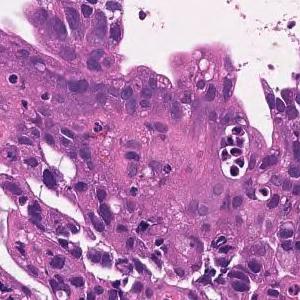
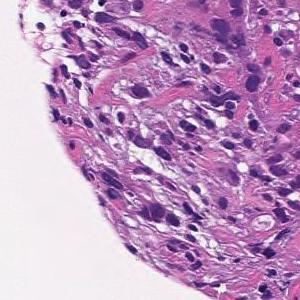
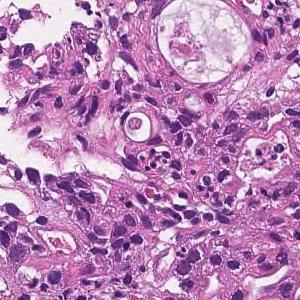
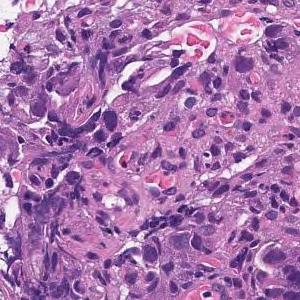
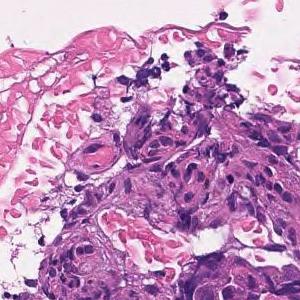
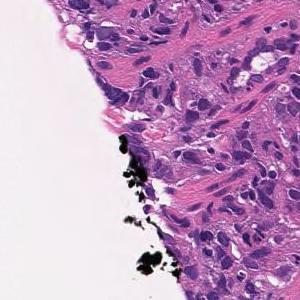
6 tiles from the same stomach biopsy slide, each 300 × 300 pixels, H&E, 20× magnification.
Pathology report for the slide these tiles were cut from. The report and the diagnosis cover the entire slide, so not every feature they name need be visible here, and some tissue shown may not be tumor.
In the superficial epithelium, tumor tissue that invades by forming medium-sized to small, irregular ducts is observed. moderately differentiated tubular adenocarcinoma.
